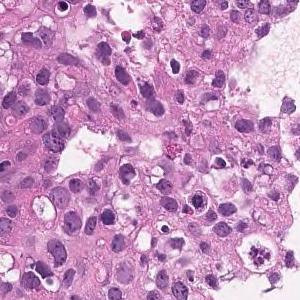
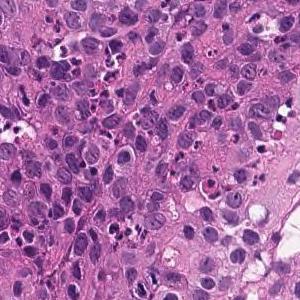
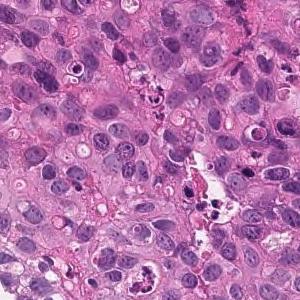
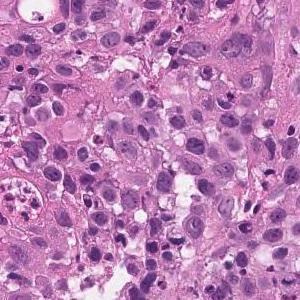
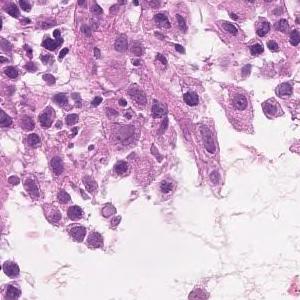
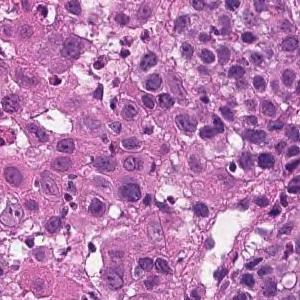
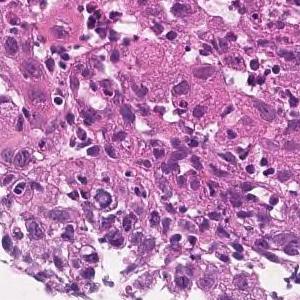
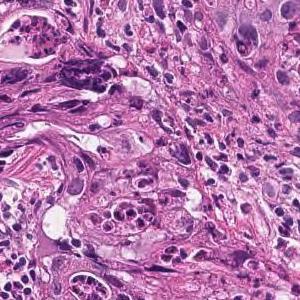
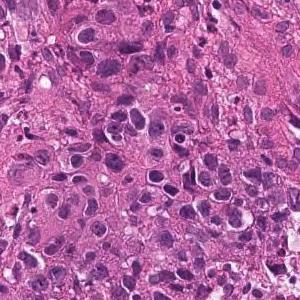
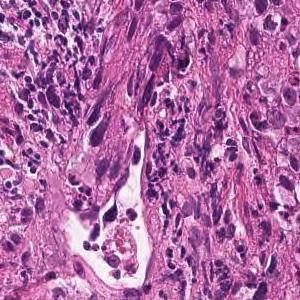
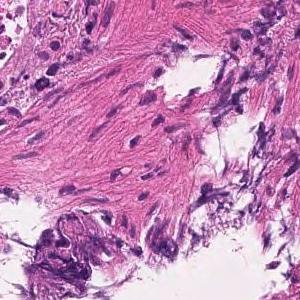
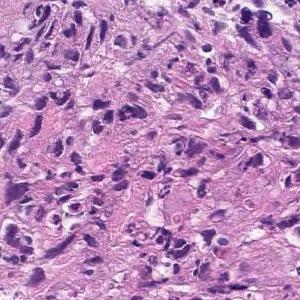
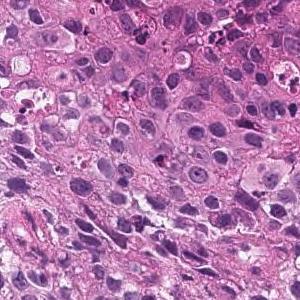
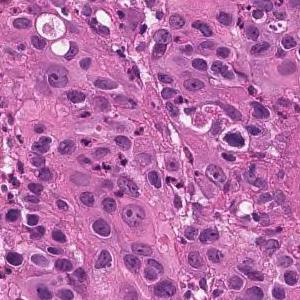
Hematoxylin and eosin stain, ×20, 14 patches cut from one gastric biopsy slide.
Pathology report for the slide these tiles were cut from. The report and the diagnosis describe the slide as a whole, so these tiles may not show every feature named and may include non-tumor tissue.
The superficial epithelium shows a large sheet-like shape, and some tumor tissue infiltrates with small irregular ducts. Poorly differentiated adenocarcinoma, solid-type
Tumor subtype: poorly differentiated adenocarcinoma, solid type, a category of the Japanese Classification of Gastric Carcinoma; in the WHO 2019 classification it is tubular adenocarcinoma, poorly differentiated.
